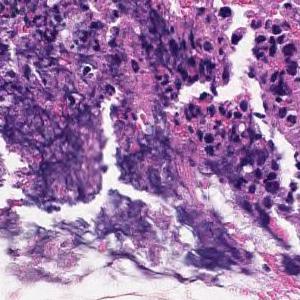
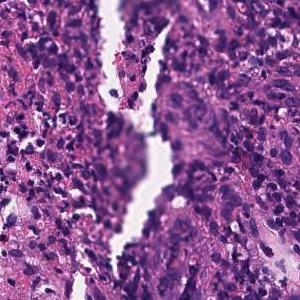
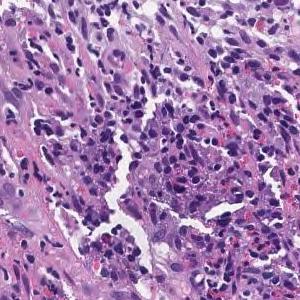
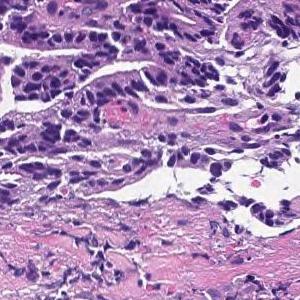
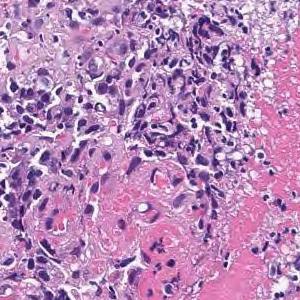
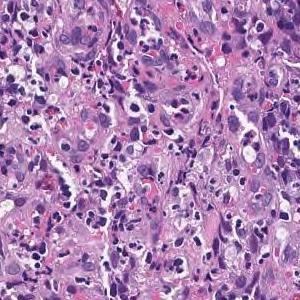
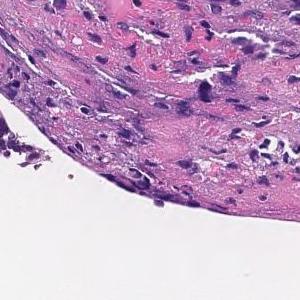
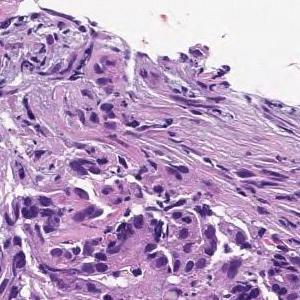
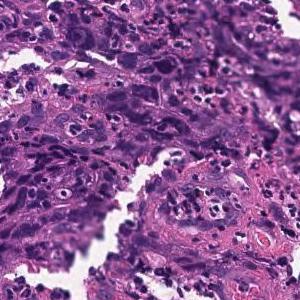
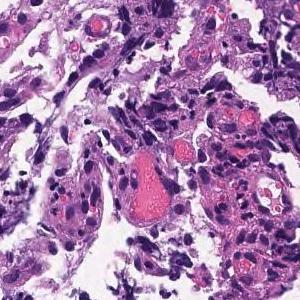
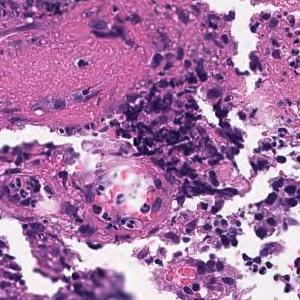
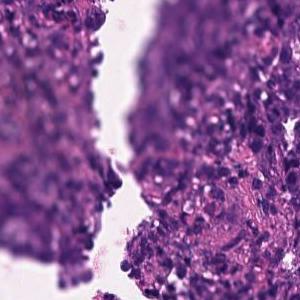
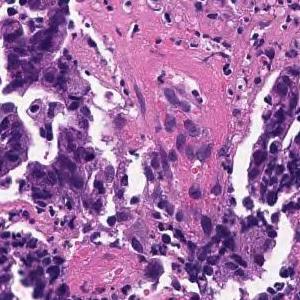
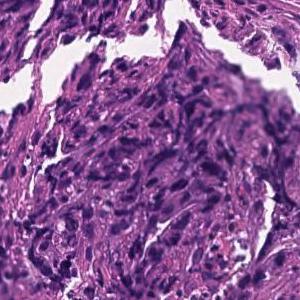
20× magnification; 14 tiles from the same stomach biopsy slide.
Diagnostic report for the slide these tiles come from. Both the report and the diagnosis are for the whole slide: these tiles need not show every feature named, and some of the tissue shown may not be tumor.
On the superficial epithelium, tumor tissue consisting of large irregular glandular ducts partially fused and infiltrated is observed. Well to moderately differentiated tubular adenocarcinoma (well differentiated tubular adenocarcinoma, moderately differentiated tubular adenocarcinoma)
Histologic type: Well to moderately differentiated tubular adenocarcinoma.
